16 tiles from the same stomach biopsy slide, each 300 × 300 pixels, hematoxylin and eosin stain, scanned at ×20.
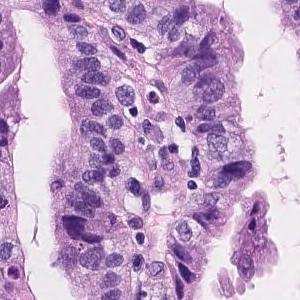
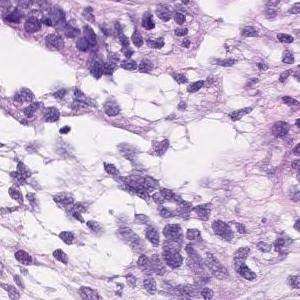
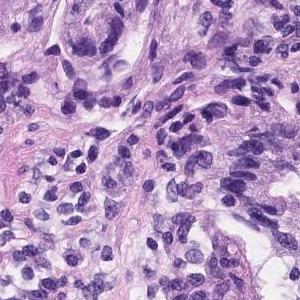
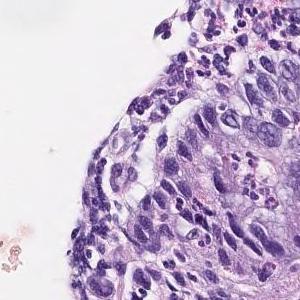
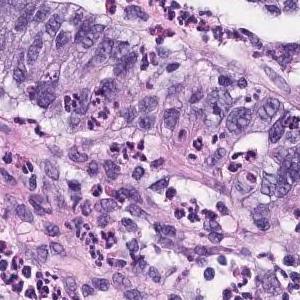
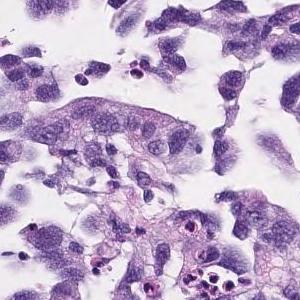
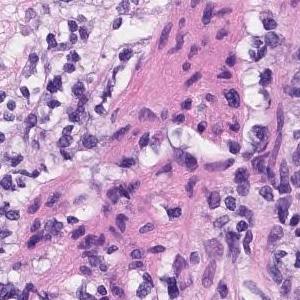
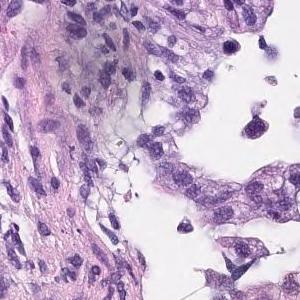
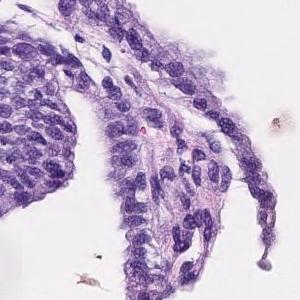
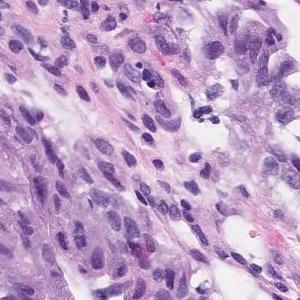
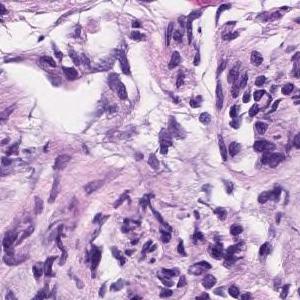
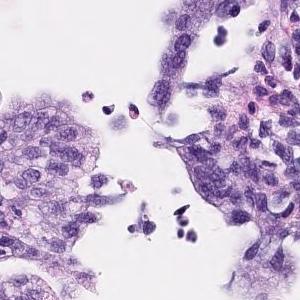
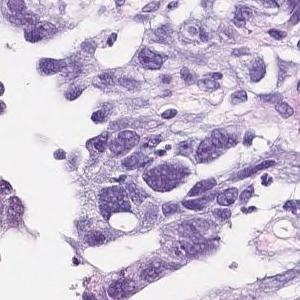
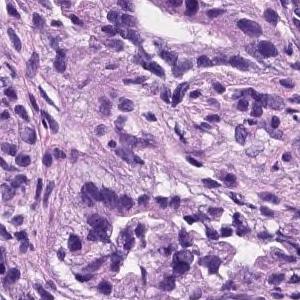
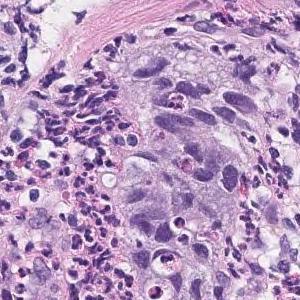
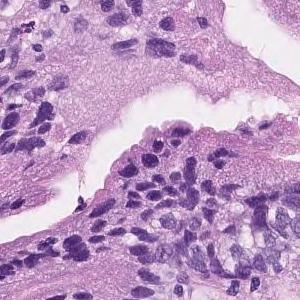
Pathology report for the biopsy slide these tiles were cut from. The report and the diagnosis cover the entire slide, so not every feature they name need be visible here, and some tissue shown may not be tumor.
Tumor cells are large, highly columnar, large club-shaped nuclei, and are associated with chromatin aggregation. Papillary adenocarcinoma.
